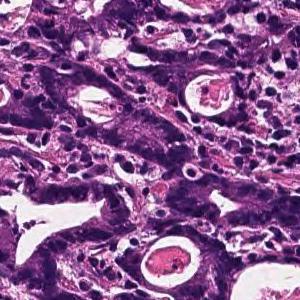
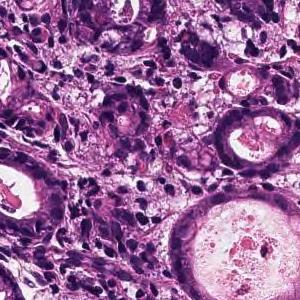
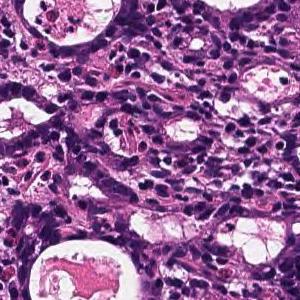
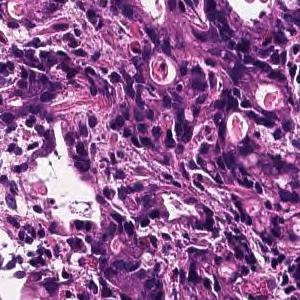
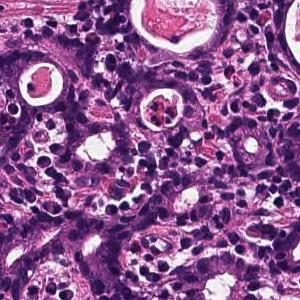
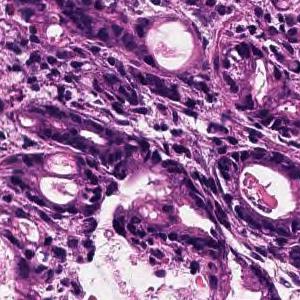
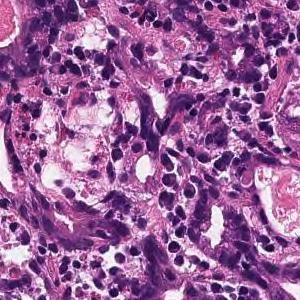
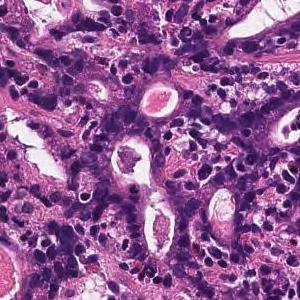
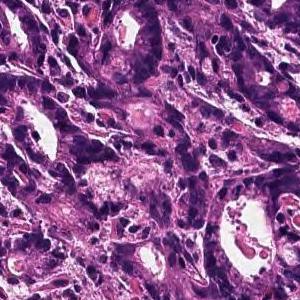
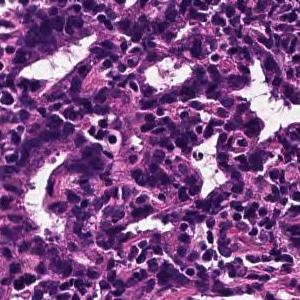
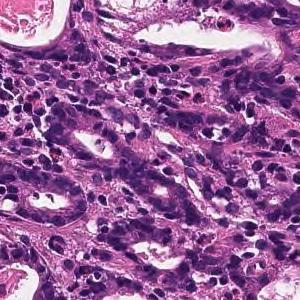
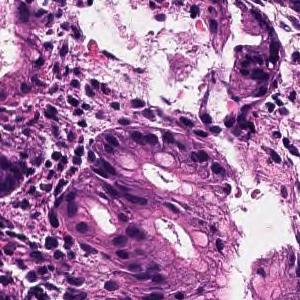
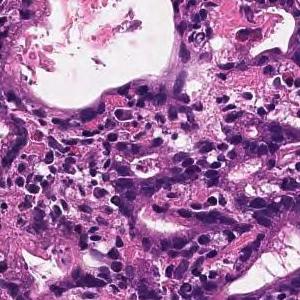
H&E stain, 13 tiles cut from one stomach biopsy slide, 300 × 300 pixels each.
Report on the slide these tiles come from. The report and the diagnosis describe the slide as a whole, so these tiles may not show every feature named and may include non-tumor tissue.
On the superficial epithelium, tumor tissue is found in which medium-sized irregular gland ducts fuse with each other and infiltrate. moderately differentiated tubular adenocarcinoma
